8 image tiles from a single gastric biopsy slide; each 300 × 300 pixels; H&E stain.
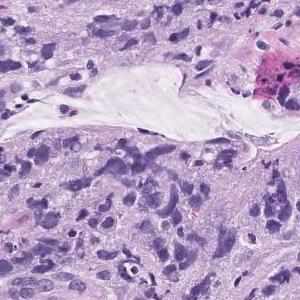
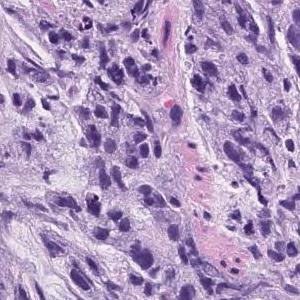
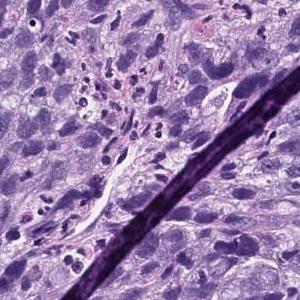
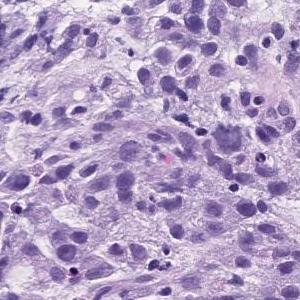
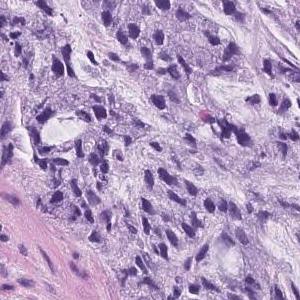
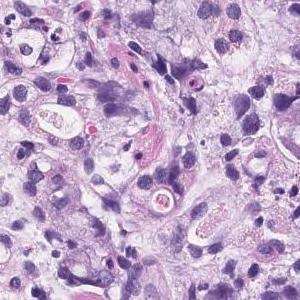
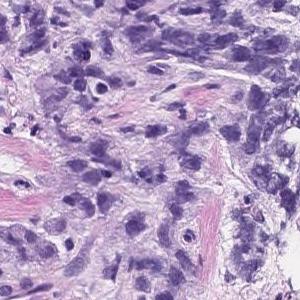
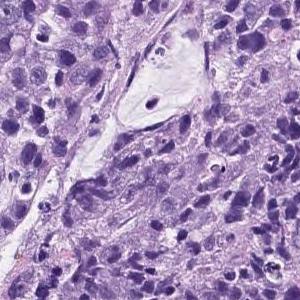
Pathology report for the biopsy slide these tiles were cut from. The findings and the diagnosis refer to the entire slide; these tiles show only part of it, possibly with non-tumor tissue, and may not show every feature named.
Atypical l cells with atypical nuclei forming solid vesicles or small irregular atypical ducts that proliferate in a complex manner. poorly differentiated adenocarcinoma, solid type, moderately differentiated tubular adenocarcinoma
The term "solid type" comes from the Japanese Classification of Gastric Carcinoma; the WHO 2019 equivalent is tubular adenocarcinoma, poorly differentiated.
